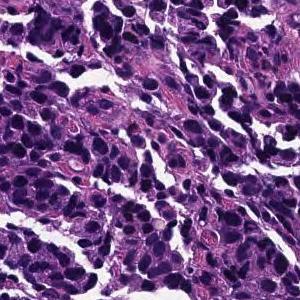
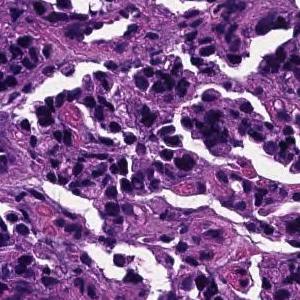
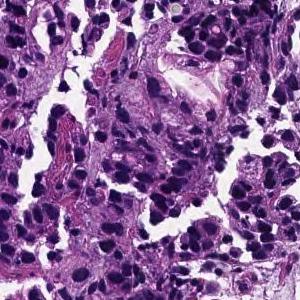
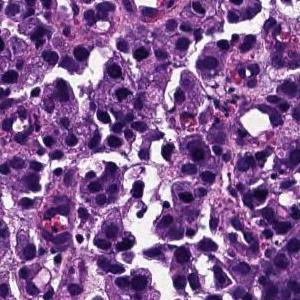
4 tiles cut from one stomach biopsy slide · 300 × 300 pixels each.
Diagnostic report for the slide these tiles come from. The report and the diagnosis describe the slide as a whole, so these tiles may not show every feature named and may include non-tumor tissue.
The superficial epithelium shows a large alveolar shape and infiltrates tumor tissue. Poorly differentiated adenocarcinoma, solid-type
Classified as poorly differentiated adenocarcinoma, solid type, a category of the Japanese Classification of Gastric Carcinoma; in the WHO 2019 classification it is tubular adenocarcinoma, poorly differentiated.
